12 tiles from the same stomach biopsy slide; 300 × 300 pixels each; ×20; H&E stain.
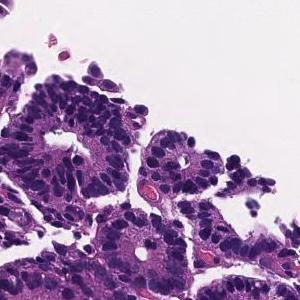
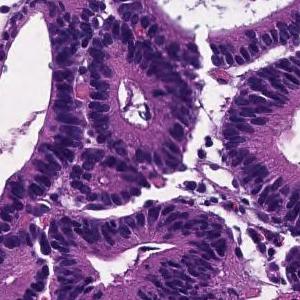
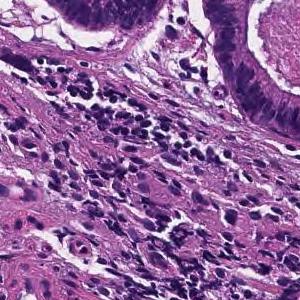
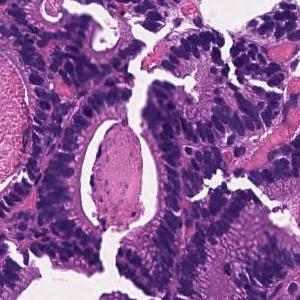
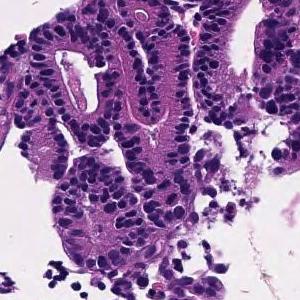
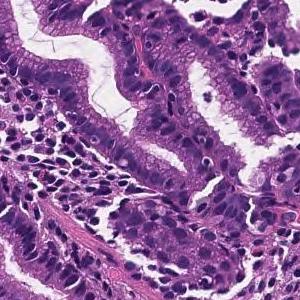
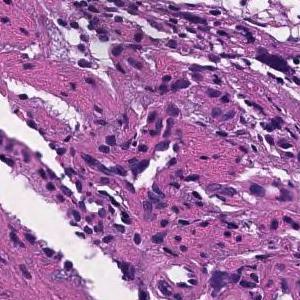
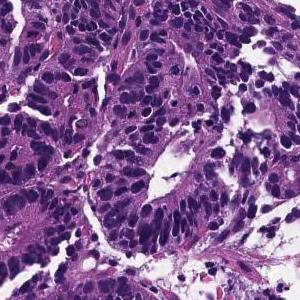
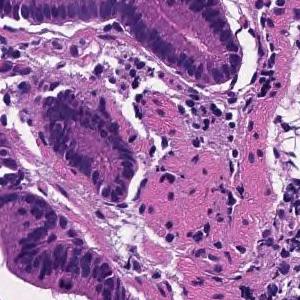
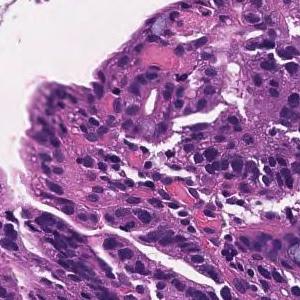
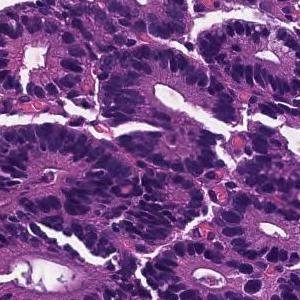
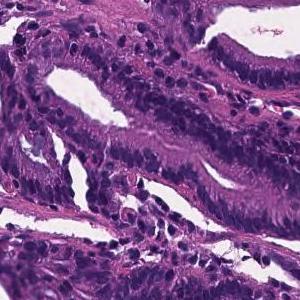
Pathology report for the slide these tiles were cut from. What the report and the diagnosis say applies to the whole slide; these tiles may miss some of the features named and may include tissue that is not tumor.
From the superficial epithelium to the muscularis mucosae, tumor tissue consisting of medium-sized and irregular glandular ducts infiltrating is observed. Well differentiated tubular adenocarcinoma
